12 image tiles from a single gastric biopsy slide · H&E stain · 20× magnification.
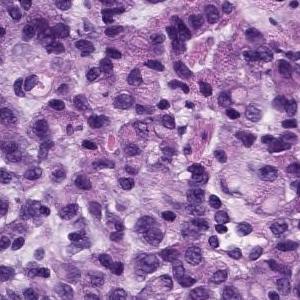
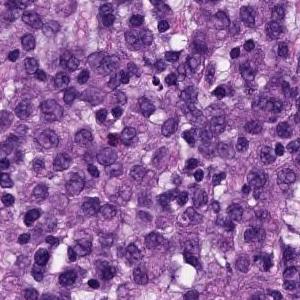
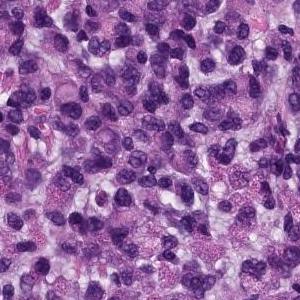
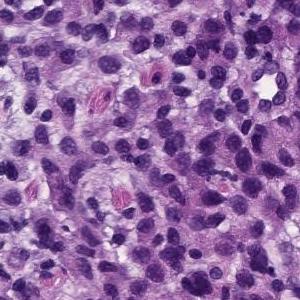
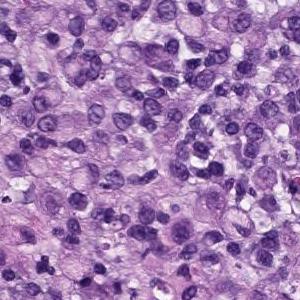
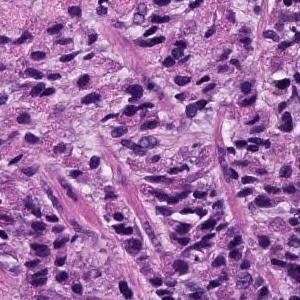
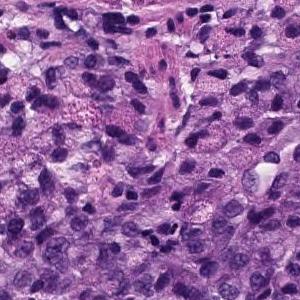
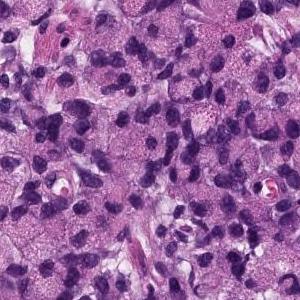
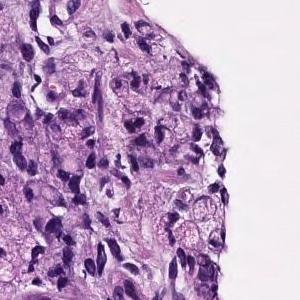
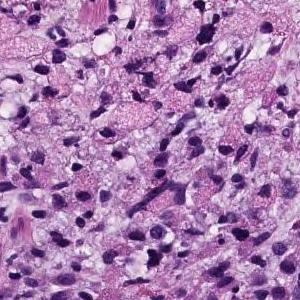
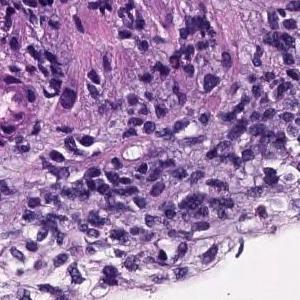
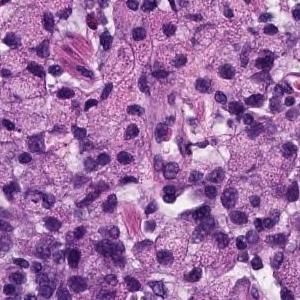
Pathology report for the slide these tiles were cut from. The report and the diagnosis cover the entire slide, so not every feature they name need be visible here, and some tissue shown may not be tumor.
The superficial epithelium shows a large sheet-like shape, and some tumor tissue infiltrates with small irregular ducts. Poorly differentiated adenocarcinoma, solid-type
Subtype: Poorly differentiated adenocarcinoma, solid type. This name comes from the Japanese Classification of Gastric Carcinoma; the WHO 2019 classification calls it tubular adenocarcinoma, poorly differentiated.
